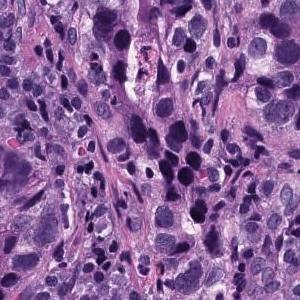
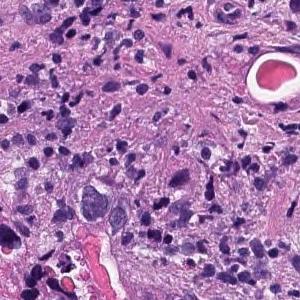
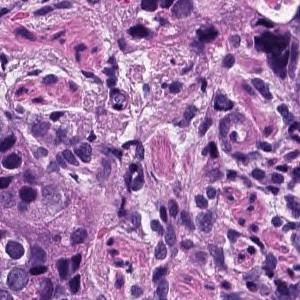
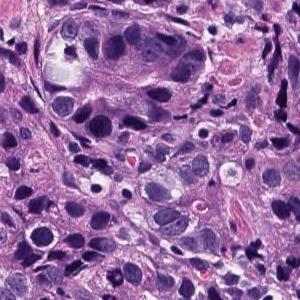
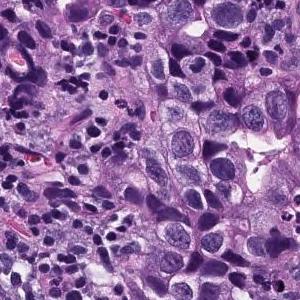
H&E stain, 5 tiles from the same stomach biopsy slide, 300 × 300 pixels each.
Pathology report for the slide these tiles were cut from. The report describes the whole slide, diagnosis included: not every finding it names need appear in these tiles, which may also show non-tumor tissue.
In the epithelium, tumor tissue in which medium to small irregular gland ducts fuse with each other and infiltrate the submucosa. moderately differentiated tubular adenocarcinoma
